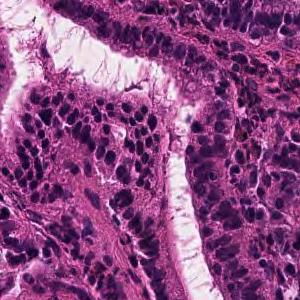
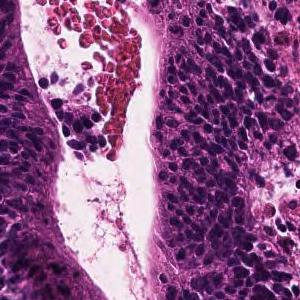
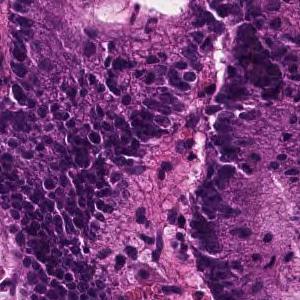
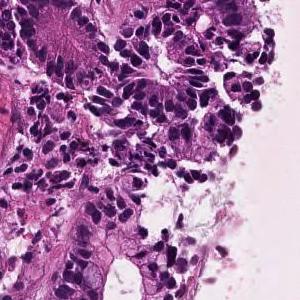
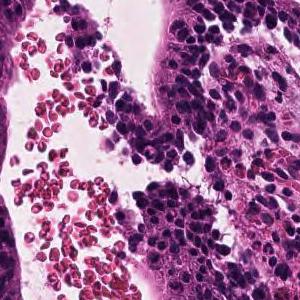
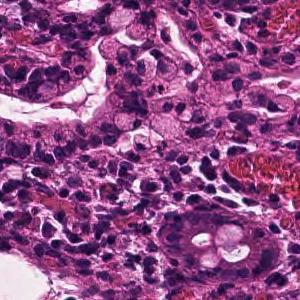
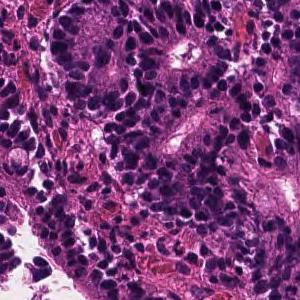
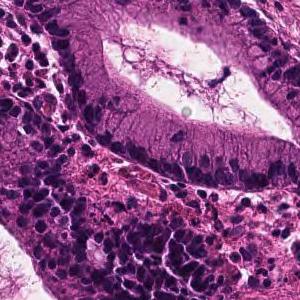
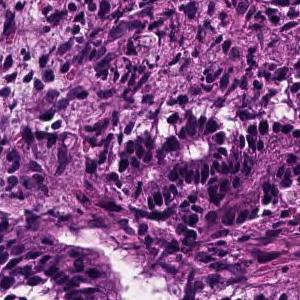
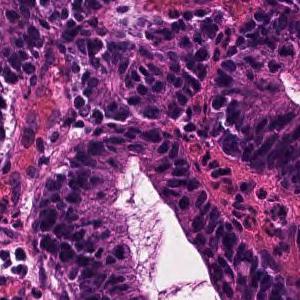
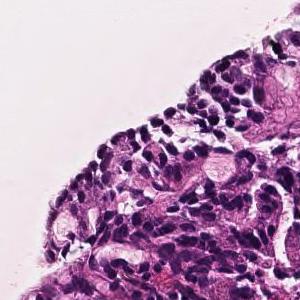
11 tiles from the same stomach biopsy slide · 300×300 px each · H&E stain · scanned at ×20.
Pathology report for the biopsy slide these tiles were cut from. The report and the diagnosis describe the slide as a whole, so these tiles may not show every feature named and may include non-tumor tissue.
In the superficial epithelium, tumor tissue that invades by forming medium-sized to small, irregular ducts is observed. moderately differentiated tubular adenocarcinoma.
